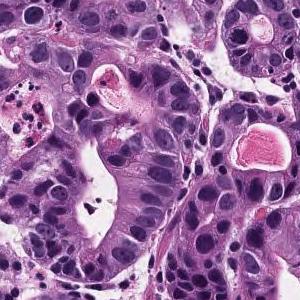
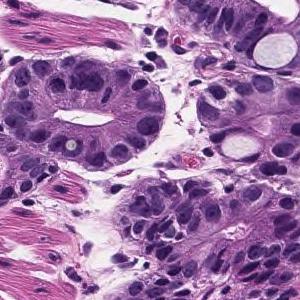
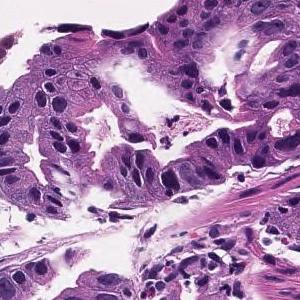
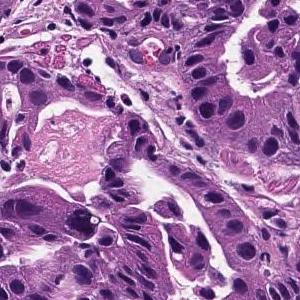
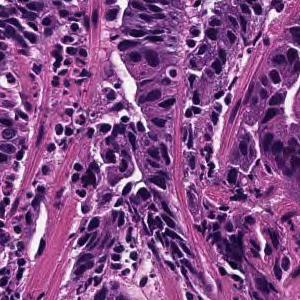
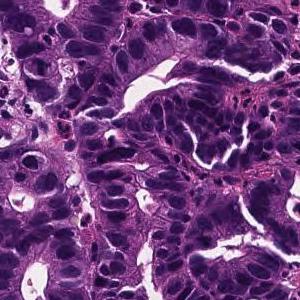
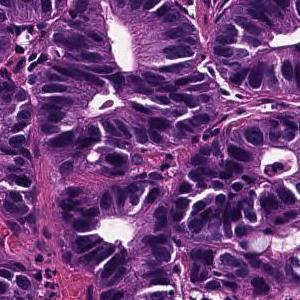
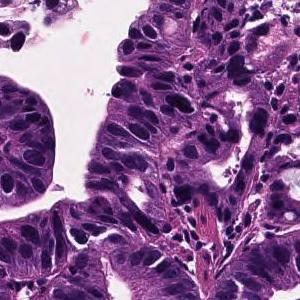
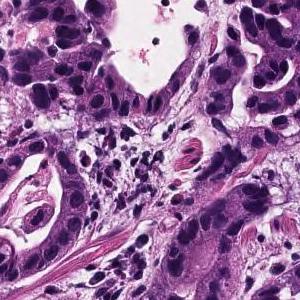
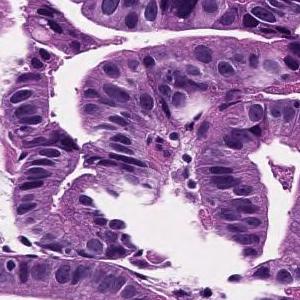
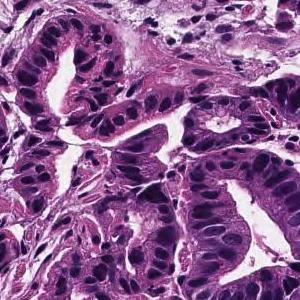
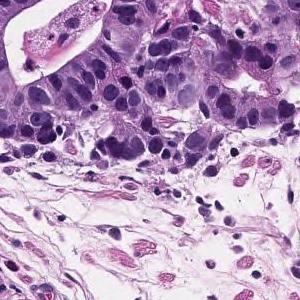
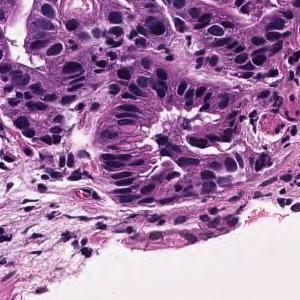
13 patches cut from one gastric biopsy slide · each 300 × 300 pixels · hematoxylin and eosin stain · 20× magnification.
Pathology report for the biopsy slide these tiles were cut from. The report and the diagnosis cover the entire slide, so not every feature they name need be visible here, and some tissue shown may not be tumor.
In the superficial epithelium, tumor tissue that invades by forming medium-sized to small, irregular ducts is observed. Well differentiated tubular adenocarcinoma.
